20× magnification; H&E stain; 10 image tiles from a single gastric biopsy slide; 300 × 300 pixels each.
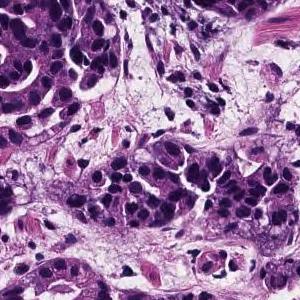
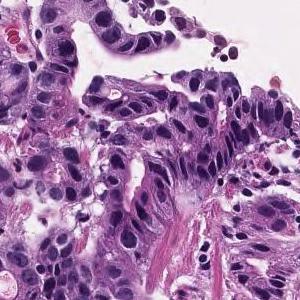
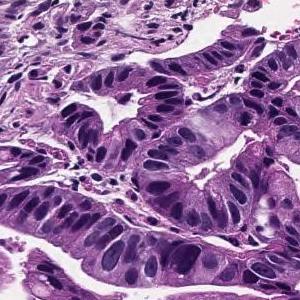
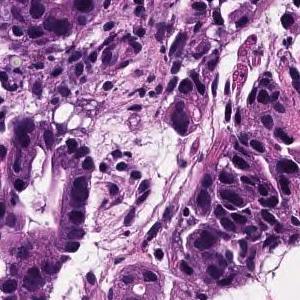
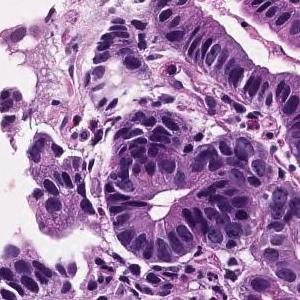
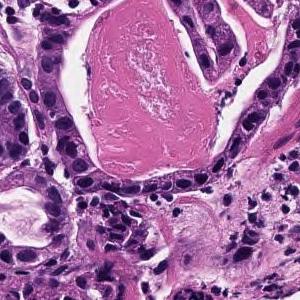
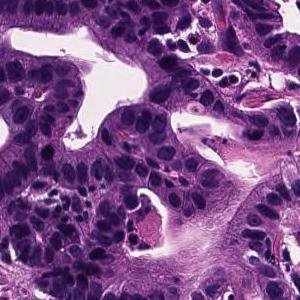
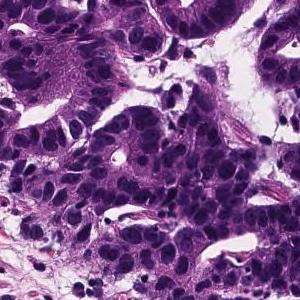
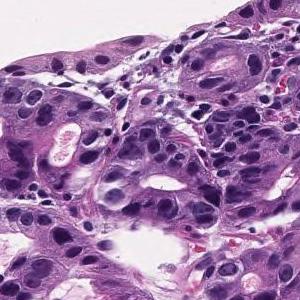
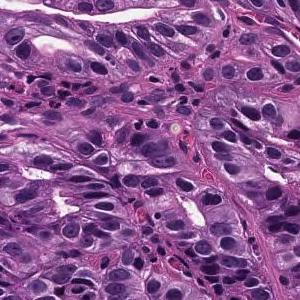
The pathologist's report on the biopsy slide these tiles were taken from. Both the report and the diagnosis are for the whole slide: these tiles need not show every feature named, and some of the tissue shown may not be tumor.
In the superficial epithelium, tumor tissue that invades by forming medium-sized to small, irregular ducts is observed. Well differentiated tubular adenocarcinoma.
